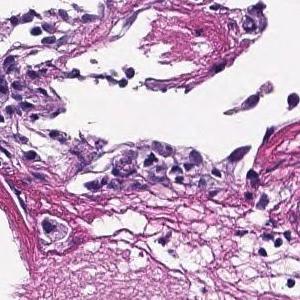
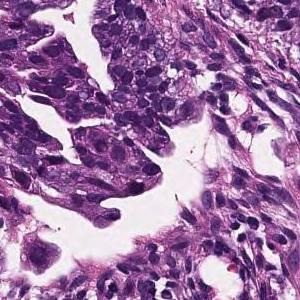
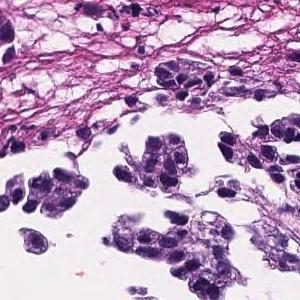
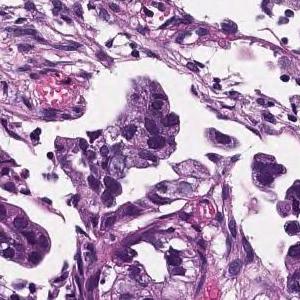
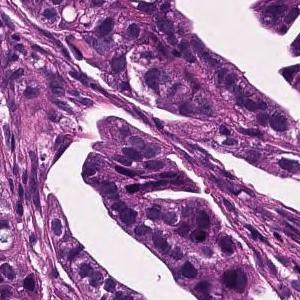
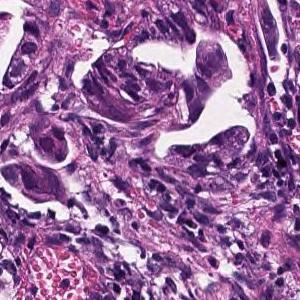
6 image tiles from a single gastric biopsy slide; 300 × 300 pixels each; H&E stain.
Diagnostic report for the slide these tiles come from. The findings and the diagnosis refer to the entire slide; these tiles show only part of it, possibly with non-tumor tissue, and may not show every feature named.
In the lamina propria, tumor tissue that invades by forming medium-sized to small, irregular glandular ducts is observed. moderately differentiated tubular adenocarcinoma
